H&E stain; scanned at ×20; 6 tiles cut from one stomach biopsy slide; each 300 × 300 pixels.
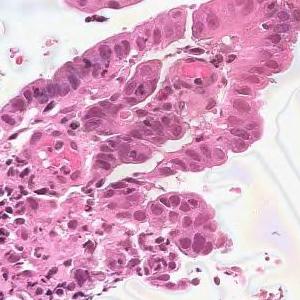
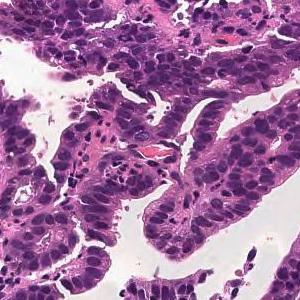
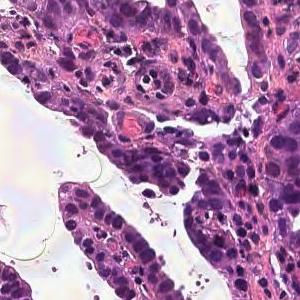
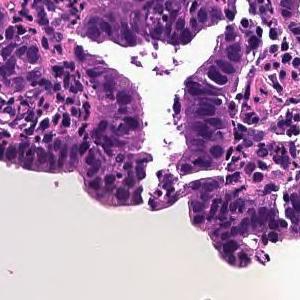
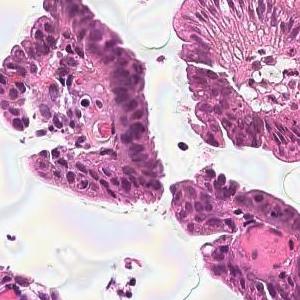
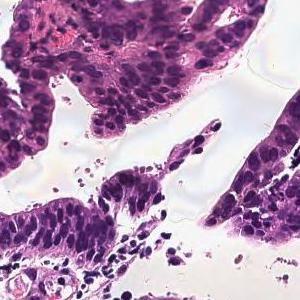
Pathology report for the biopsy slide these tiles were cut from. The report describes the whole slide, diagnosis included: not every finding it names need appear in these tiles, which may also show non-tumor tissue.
From the superficial epithelium to the muscularis mucosae, tumor tissue consisting of medium-sized and irregular glandular ducts infiltrating is observed. Well differentiated tubular adenocarcinoma
